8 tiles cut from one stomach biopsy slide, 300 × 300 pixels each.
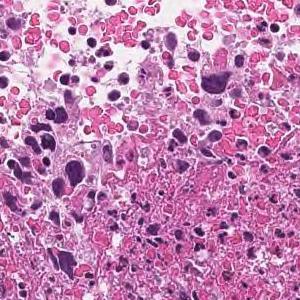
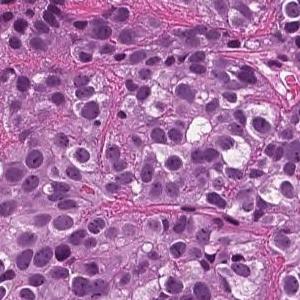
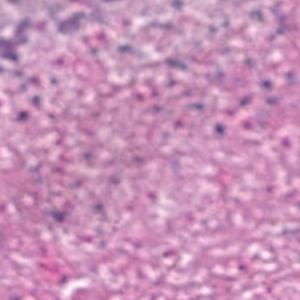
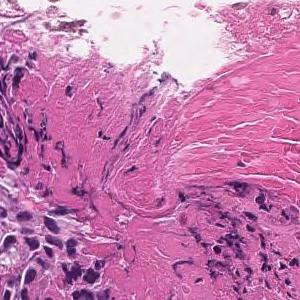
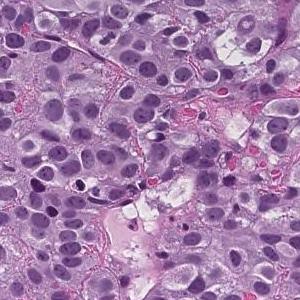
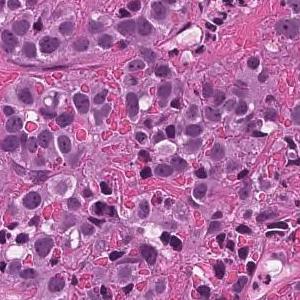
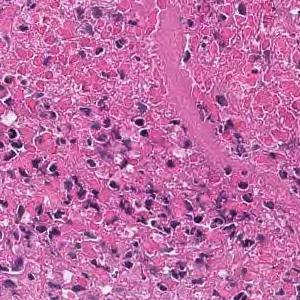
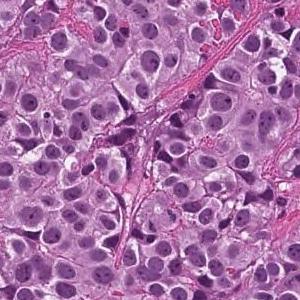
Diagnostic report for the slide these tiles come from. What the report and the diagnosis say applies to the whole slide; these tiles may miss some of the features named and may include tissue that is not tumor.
The superficial epithelium shows a large sheet-like shape, and some tumor tissue infiltrates with small irregular ducts. Poorly differentiated adenocarcinoma, solid-type
Tumor subtype: poorly differentiated adenocarcinoma, solid type, a category of the Japanese Classification of Gastric Carcinoma; in the WHO 2019 classification it is tubular adenocarcinoma, poorly differentiated.
